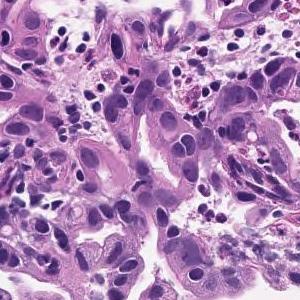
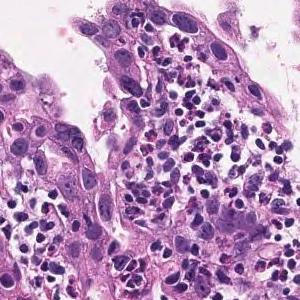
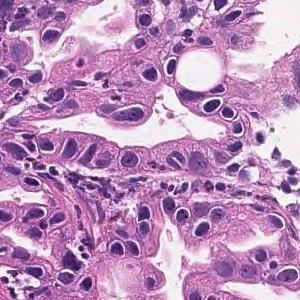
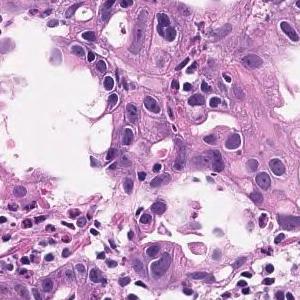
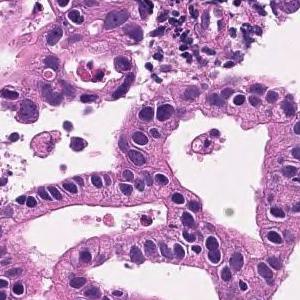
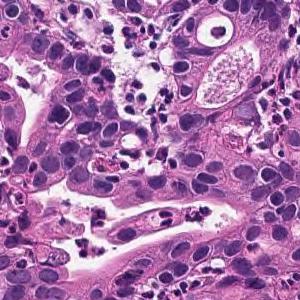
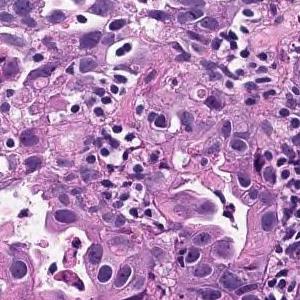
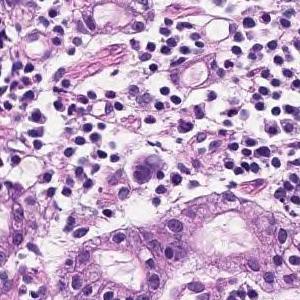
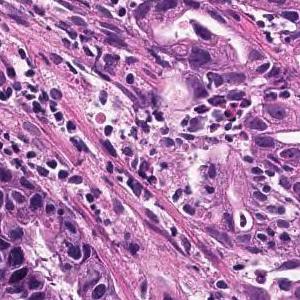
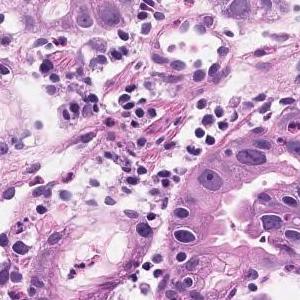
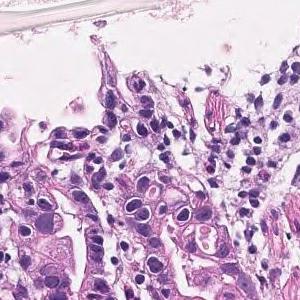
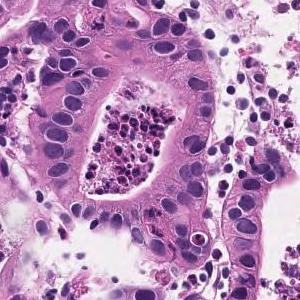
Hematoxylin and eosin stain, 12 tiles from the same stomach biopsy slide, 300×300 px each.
Pathology report for the biopsy slide these tiles were cut from. Both the report and the diagnosis are for the whole slide: these tiles need not show every feature named, and some of the tissue shown may not be tumor.
In the superficial epithelium, tumor tissue that invades by forming medium-sized to small, irregular ducts is observed. moderately differentiated tubular adenocarcinoma.
